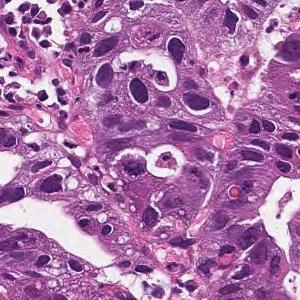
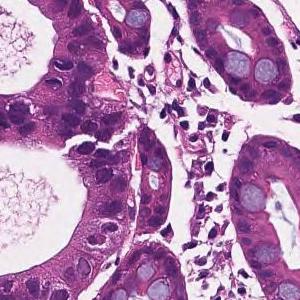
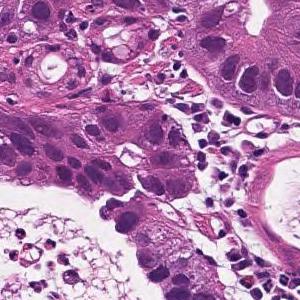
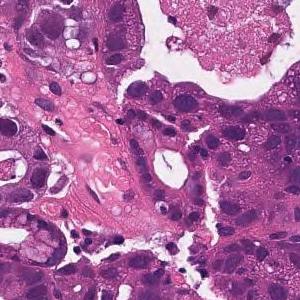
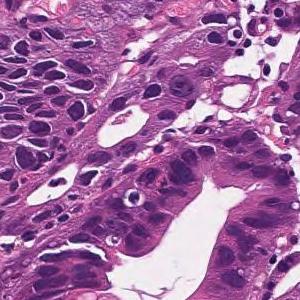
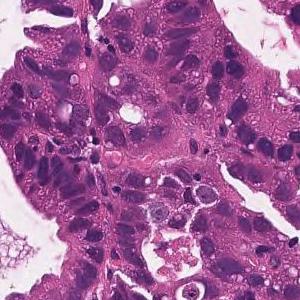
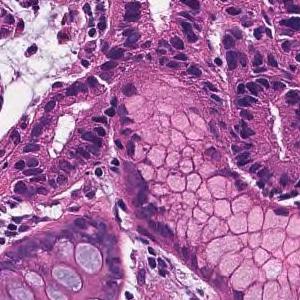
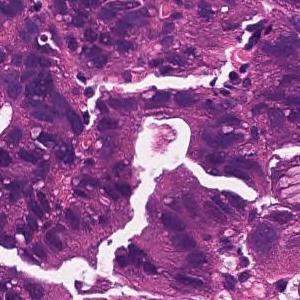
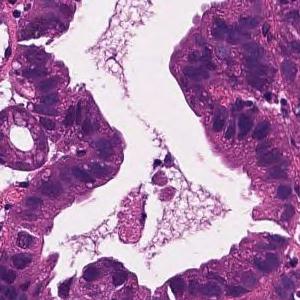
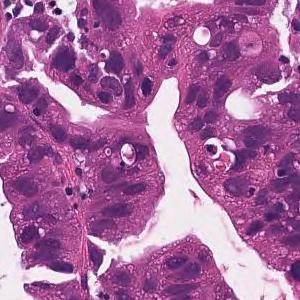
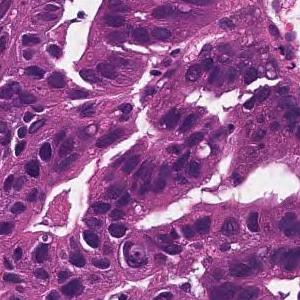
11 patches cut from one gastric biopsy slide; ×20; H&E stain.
Pathology report for the biopsy slide these tiles were cut from. The report describes the whole slide, diagnosis included: not every finding it names need appear in these tiles, which may also show non-tumor tissue.
In the superficial epithelium, tumor tissue that invades by forming medium-sized to small, irregular ducts is observed. moderately differentiated tubular adenocarcinoma.
